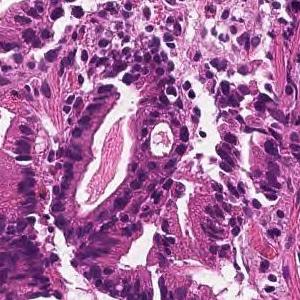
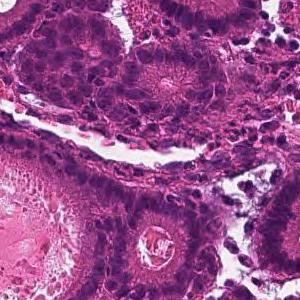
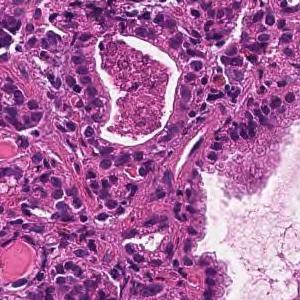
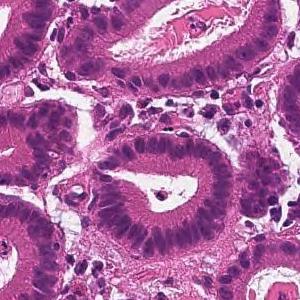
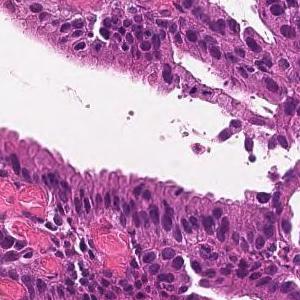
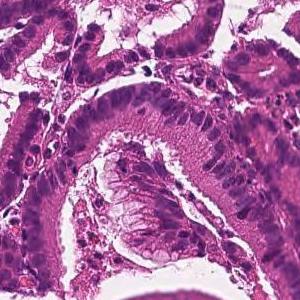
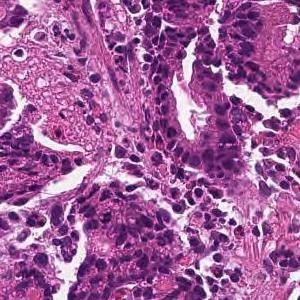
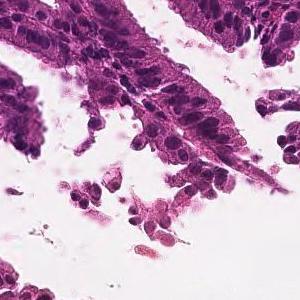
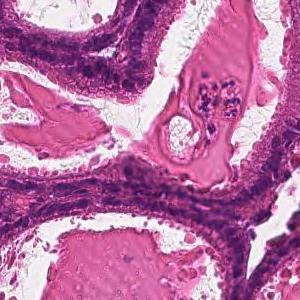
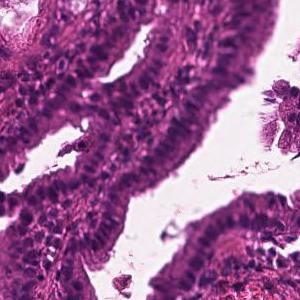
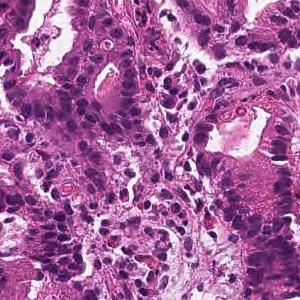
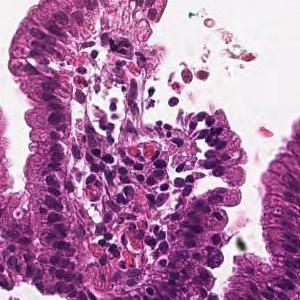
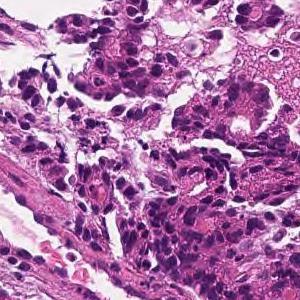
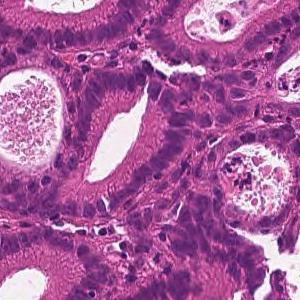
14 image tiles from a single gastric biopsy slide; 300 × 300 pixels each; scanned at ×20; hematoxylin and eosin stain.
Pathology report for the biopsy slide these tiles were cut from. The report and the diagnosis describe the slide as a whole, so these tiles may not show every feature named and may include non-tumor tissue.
From the superficial epithelium to the muscularis mucosae, tumor tissue consisting of medium-sized and irregular glandular ducts infiltrating is observed. Well differentiated tubular adenocarcinoma
